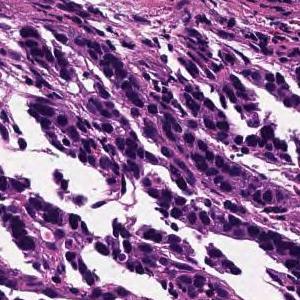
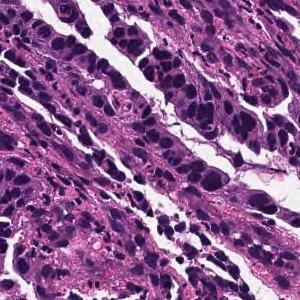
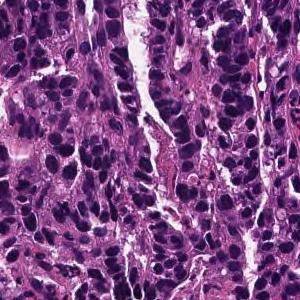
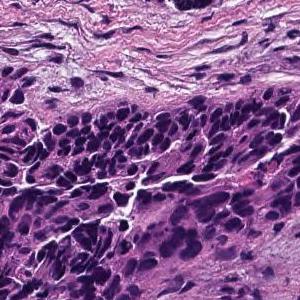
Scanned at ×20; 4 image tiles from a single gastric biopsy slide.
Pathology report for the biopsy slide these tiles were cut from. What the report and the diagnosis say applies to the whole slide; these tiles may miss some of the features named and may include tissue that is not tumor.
In the superficial epithelium, tumor tissue that invades by forming medium-sized to small, irregular ducts is observed. moderately differentiated tubular adenocarcinoma.
